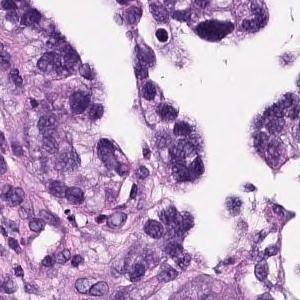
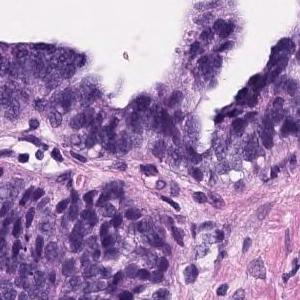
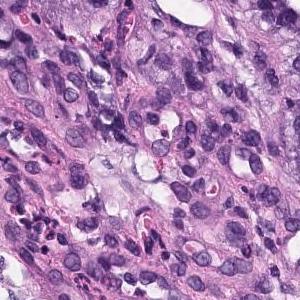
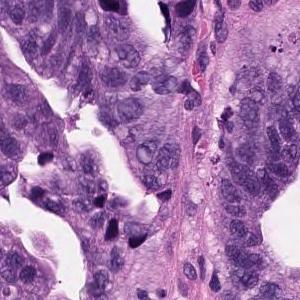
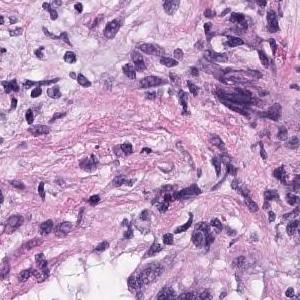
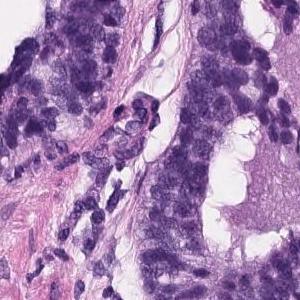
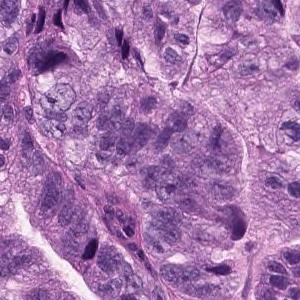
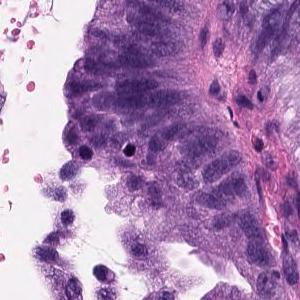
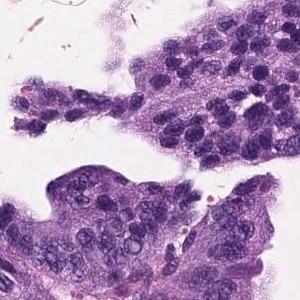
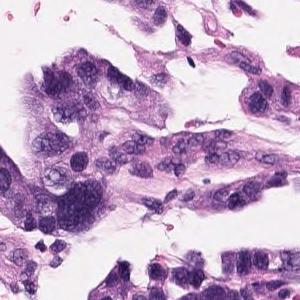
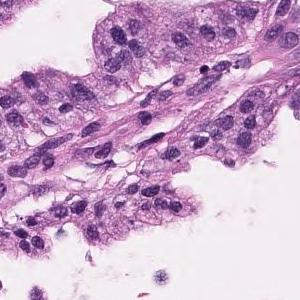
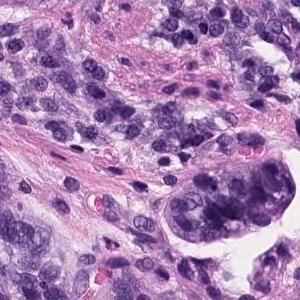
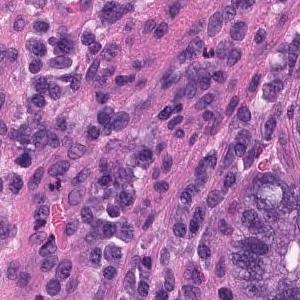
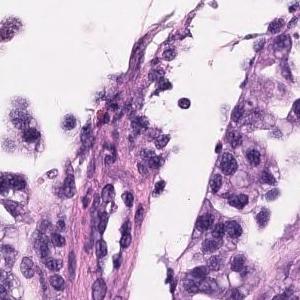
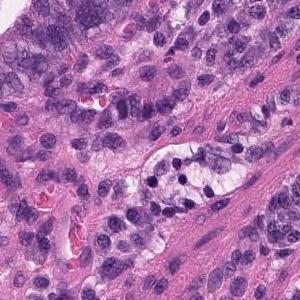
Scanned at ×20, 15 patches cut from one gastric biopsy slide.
Pathology report for the slide these tiles were cut from. Both the report and the diagnosis are for the whole slide: these tiles need not show every feature named, and some of the tissue shown may not be tumor.
Tumor cells are large, highly columnar, large club-shaped nuclei, and are associated with chromatin aggregation. Papillary adenocarcinoma.
